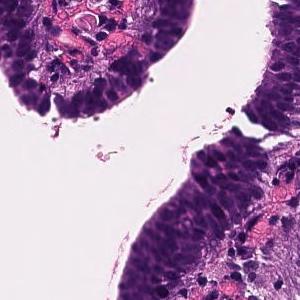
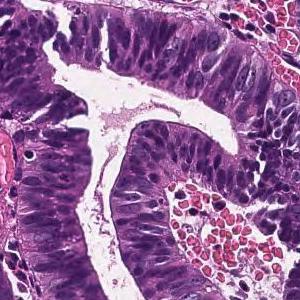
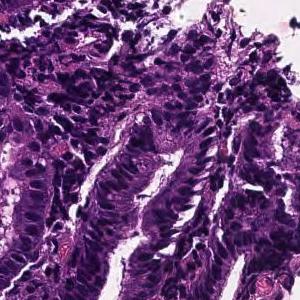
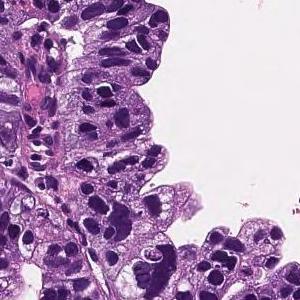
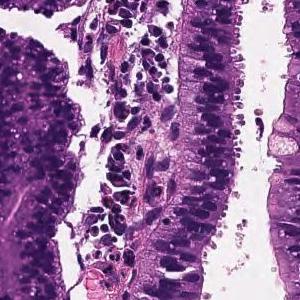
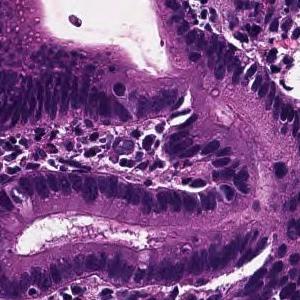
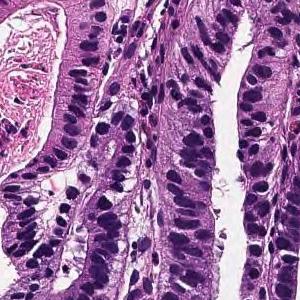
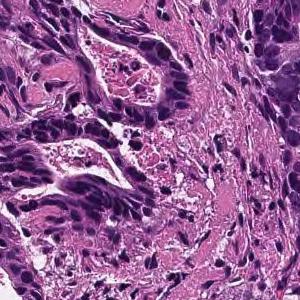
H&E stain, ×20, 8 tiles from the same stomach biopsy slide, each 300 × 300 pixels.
The pathologist's report on the biopsy slide these tiles were taken from. The report describes the whole slide, diagnosis included: not every finding it names need appear in these tiles, which may also show non-tumor tissue.
Tumor tissue consisting of large papillary structures is found in the superficial epithelium. Papillary adenocarcinoma.
